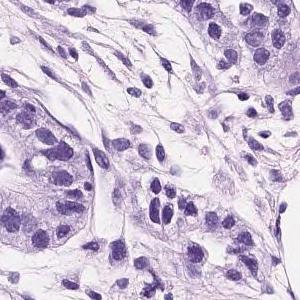
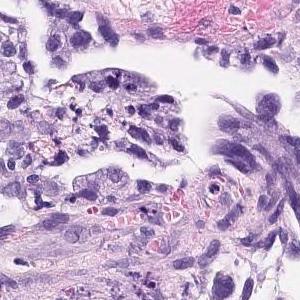
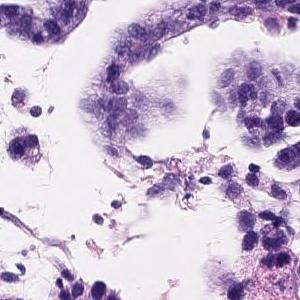
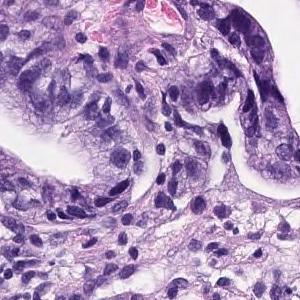
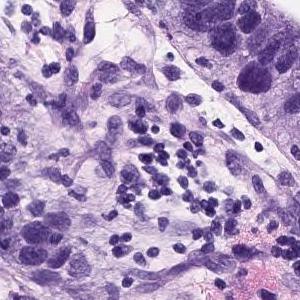
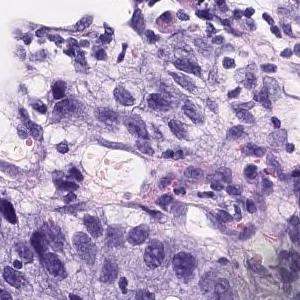
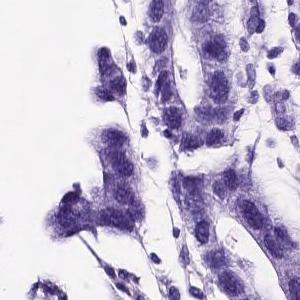
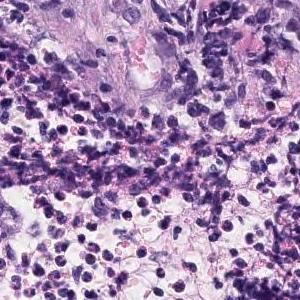
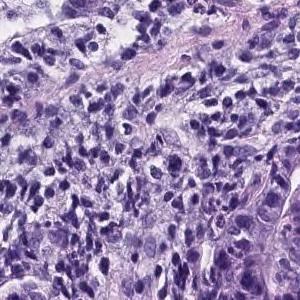
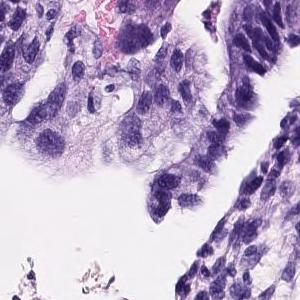
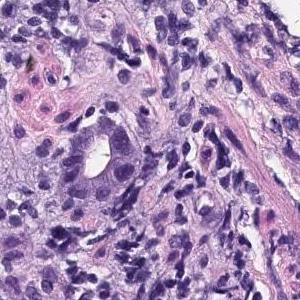
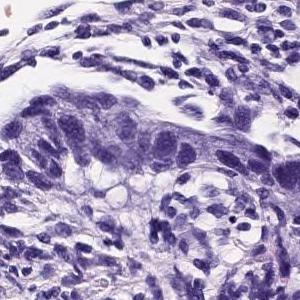
12 image tiles from a single gastric biopsy slide · 300 × 300 pixels each · 20× magnification · H&E.
Diagnostic report for the slide these tiles come from. Both the report and the diagnosis are for the whole slide: these tiles need not show every feature named, and some of the tissue shown may not be tumor.
On the superficial epithelium, tumor tissue consisting of medium to small irregular tubules partially fused and proliferated is observed. moderately differentiated tubular adenocarcinoma
